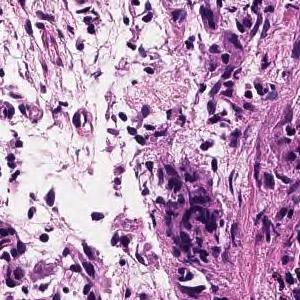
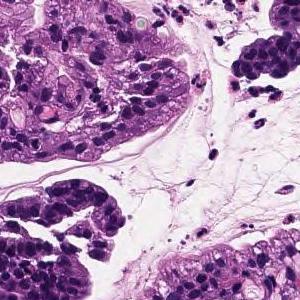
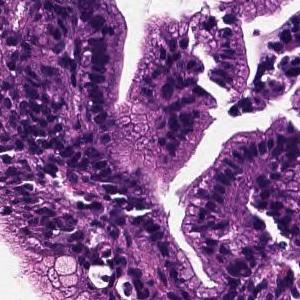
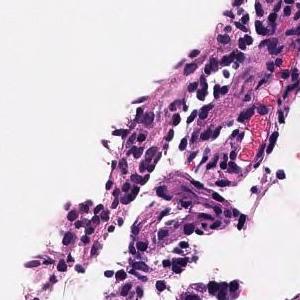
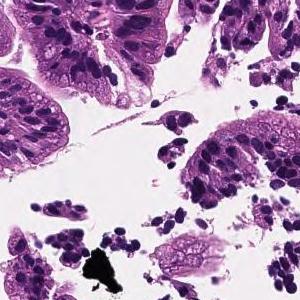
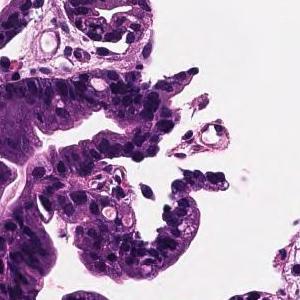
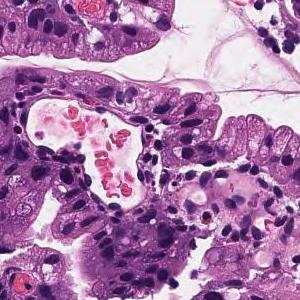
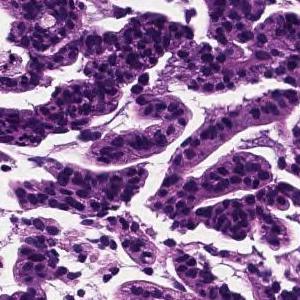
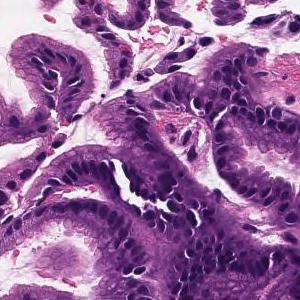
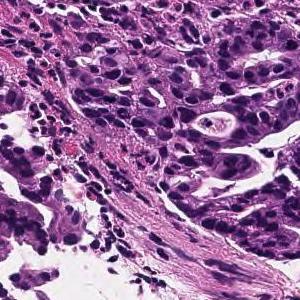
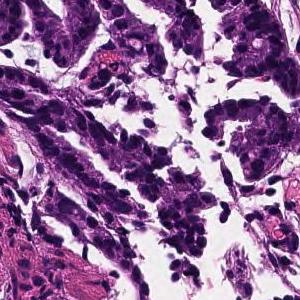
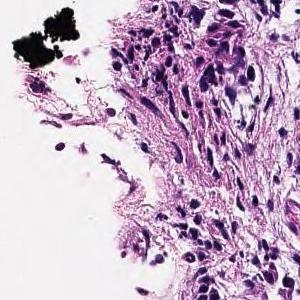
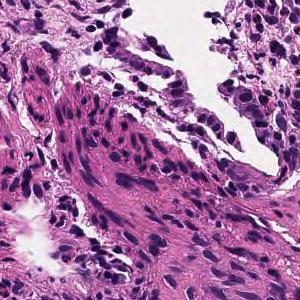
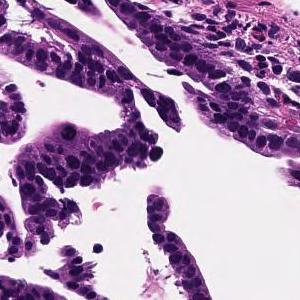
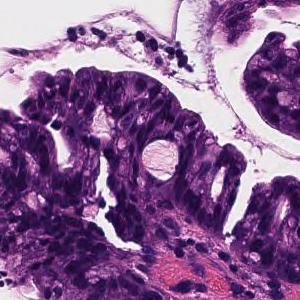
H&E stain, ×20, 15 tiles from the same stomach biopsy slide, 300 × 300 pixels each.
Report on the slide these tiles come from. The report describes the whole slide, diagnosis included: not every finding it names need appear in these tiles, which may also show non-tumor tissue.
On the superficial epithelium, tumor tissue that infiltrates by forming medium-sized papillary or small irregular ducts is observed. Papillary adenocarcinoma
